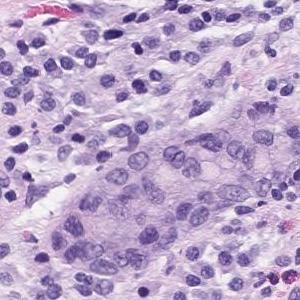
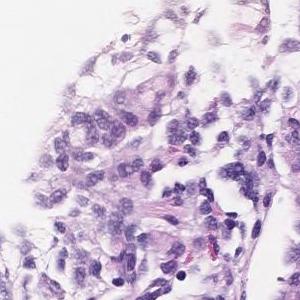
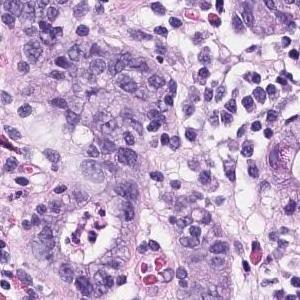
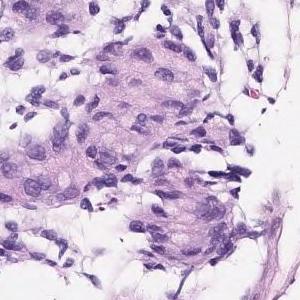
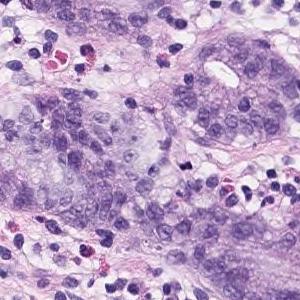
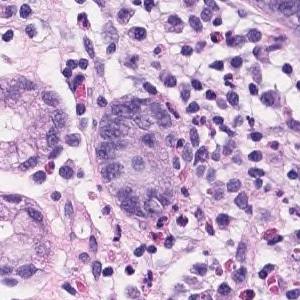
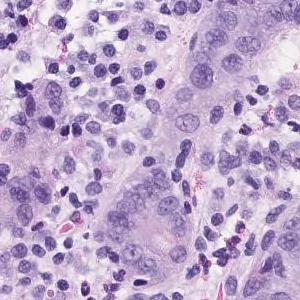
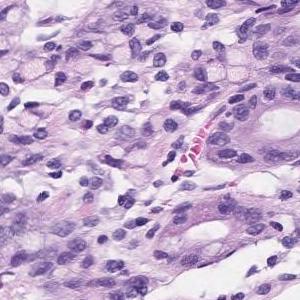
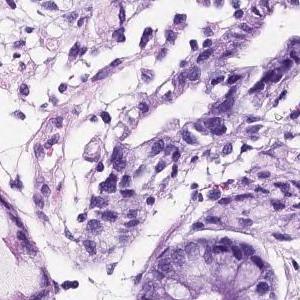
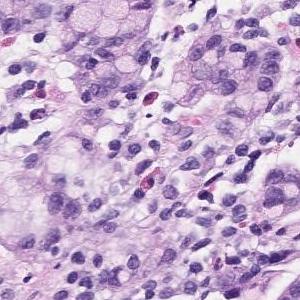
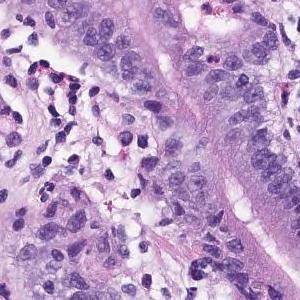
11 tiles from the same stomach biopsy slide, each 300 × 300 pixels, hematoxylin and eosin stain, ×20.
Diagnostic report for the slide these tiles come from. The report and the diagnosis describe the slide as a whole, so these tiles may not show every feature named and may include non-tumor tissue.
Atypical l cells with atypical nuclei forming diffuse or small irregular atypical ducts and growing. Moderately to poorly differentiated adenocarcinoma (poorly differentiated adenocarcinoma, solid type moderately differentiated tubular adenocarcinoma)
Histological subtype: Moderately to poorly differentiated adenocarcinoma.
"Solid type" is a category of the Japanese Classification of Gastric Carcinoma; in the WHO 2019 classification it is tubular adenocarcinoma, poorly differentiated.
